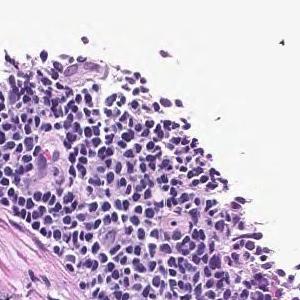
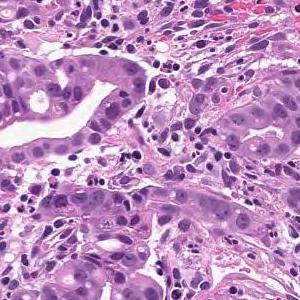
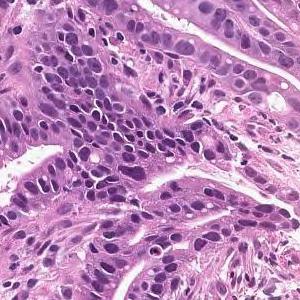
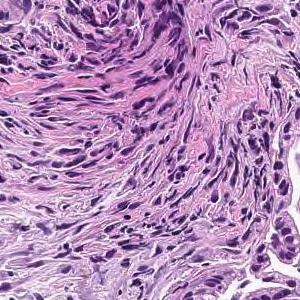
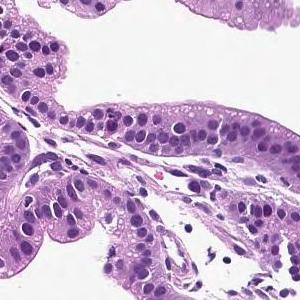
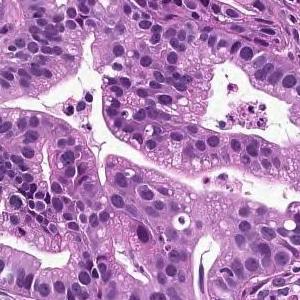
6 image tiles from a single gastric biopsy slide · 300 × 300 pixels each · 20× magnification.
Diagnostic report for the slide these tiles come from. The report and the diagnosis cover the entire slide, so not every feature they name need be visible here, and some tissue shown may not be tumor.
On the superficial epithelium, tumor tissue that infiltrates by forming medium-sized papillary or small irregular ducts is observed. Papillary adenocarcinoma
